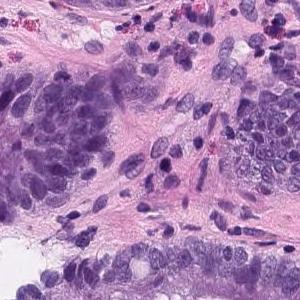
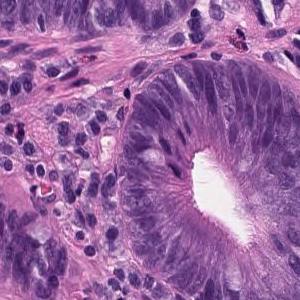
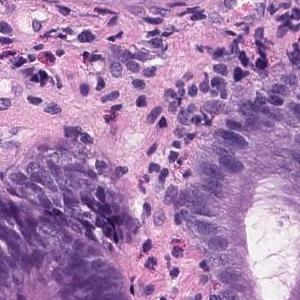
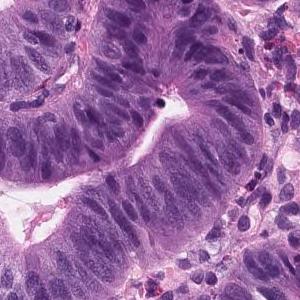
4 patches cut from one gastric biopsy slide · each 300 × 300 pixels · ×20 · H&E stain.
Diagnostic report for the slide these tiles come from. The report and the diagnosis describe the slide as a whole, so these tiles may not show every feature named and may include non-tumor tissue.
On the superficial epithelium, tumor tissue with densely growing medium to large, round tubules is observed. Tumor cells are highly columnar, with nuclei aligned basolaterally and polarized. Well differentiated tubular adenocarcinoma
